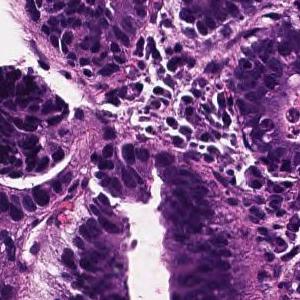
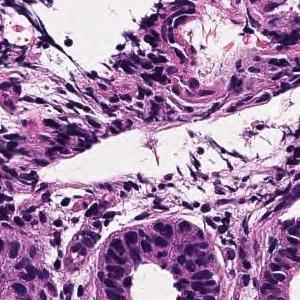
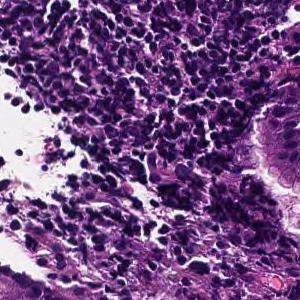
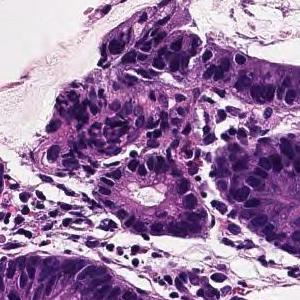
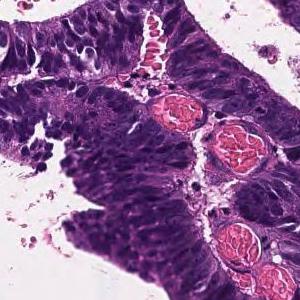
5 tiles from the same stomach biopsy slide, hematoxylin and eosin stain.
Report on the slide these tiles come from. The report describes the whole slide, diagnosis included: not every finding it names need appear in these tiles, which may also show non-tumor tissue.
Tumor tissue consisting of large papillary structures is found in the superficial epithelium. Papillary adenocarcinoma.
